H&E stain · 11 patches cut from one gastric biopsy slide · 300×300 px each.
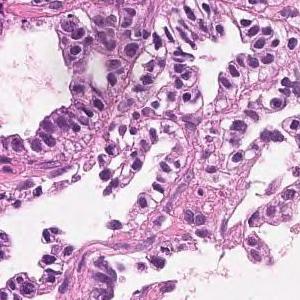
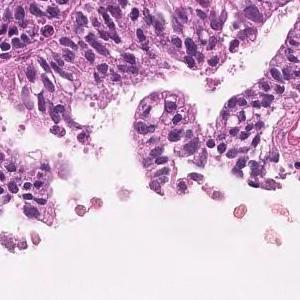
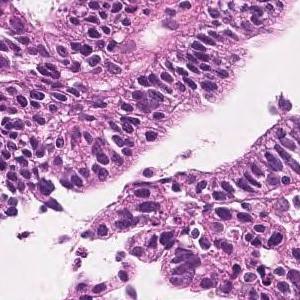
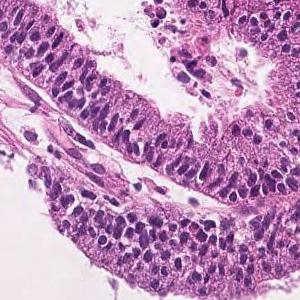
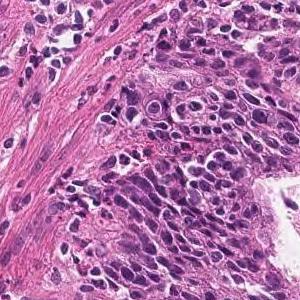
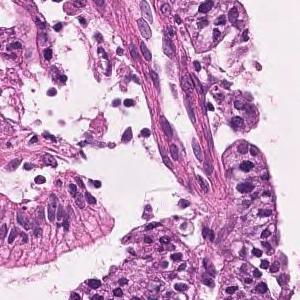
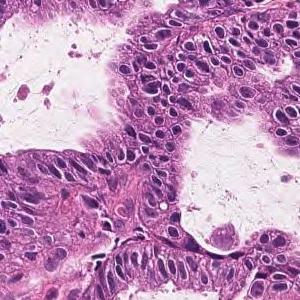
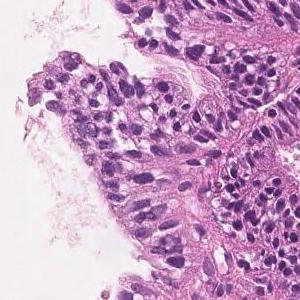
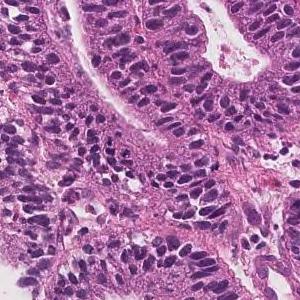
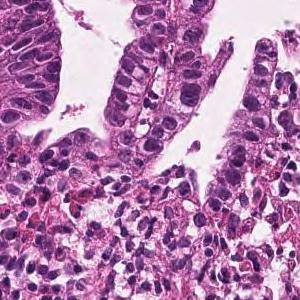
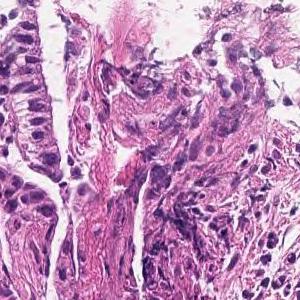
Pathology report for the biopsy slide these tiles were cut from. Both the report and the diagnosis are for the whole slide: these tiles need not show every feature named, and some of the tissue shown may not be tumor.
Tumor cells are large, highly columnar, large club-shaped nuclei, and are associated with chromatin aggregation. Papillary adenocarcinoma.
